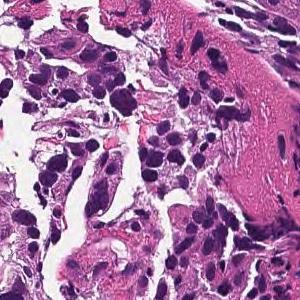
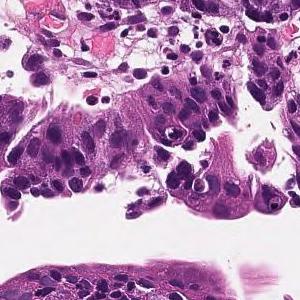
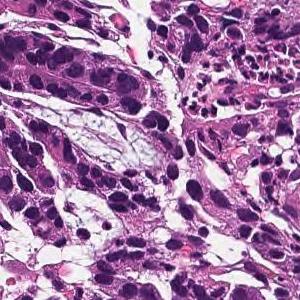
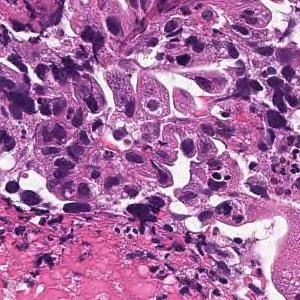
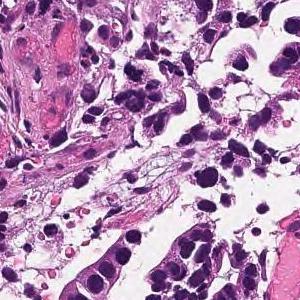
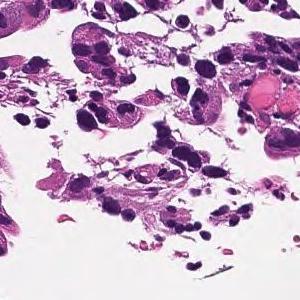
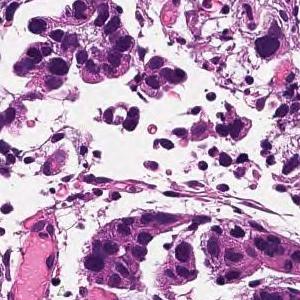
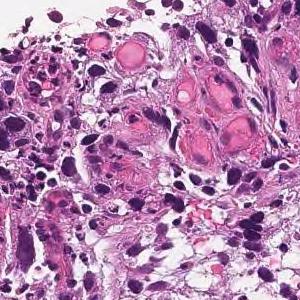
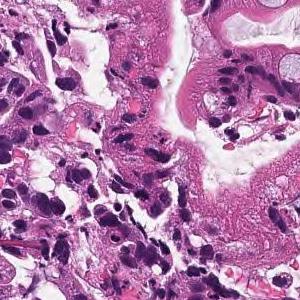
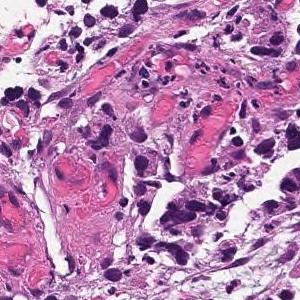
10 patches cut from one gastric biopsy slide; H&E stain; scanned at ×20.
Diagnostic report for the slide these tiles come from. The report describes the whole slide, diagnosis included: not every finding it names need appear in these tiles, which may also show non-tumor tissue.
In the superficial epithelium, tumor tissue that invades by forming medium-sized to small, irregular ducts is observed. moderately differentiated tubular adenocarcinoma.
